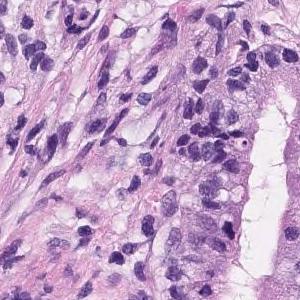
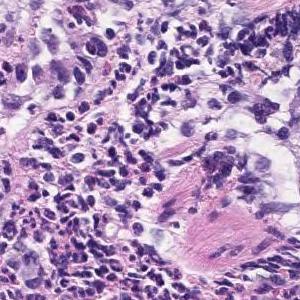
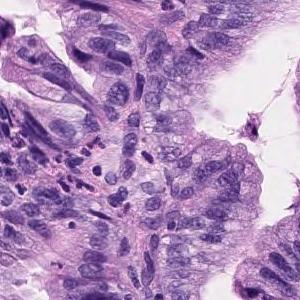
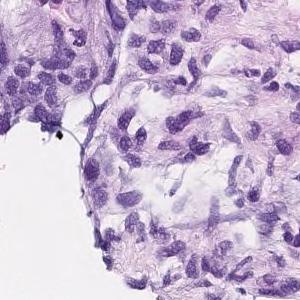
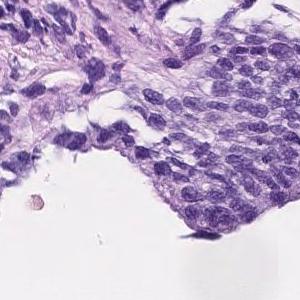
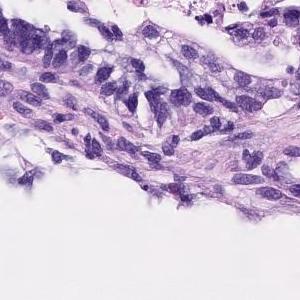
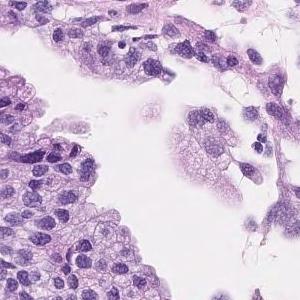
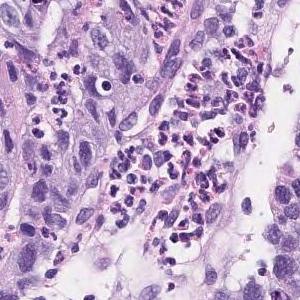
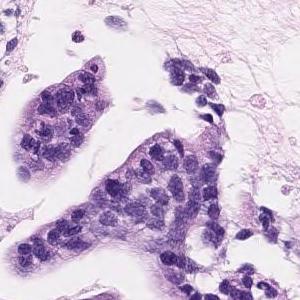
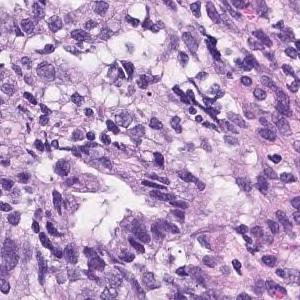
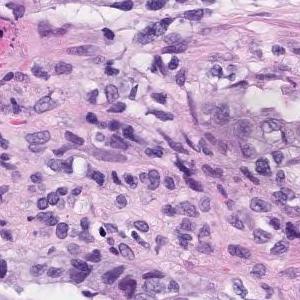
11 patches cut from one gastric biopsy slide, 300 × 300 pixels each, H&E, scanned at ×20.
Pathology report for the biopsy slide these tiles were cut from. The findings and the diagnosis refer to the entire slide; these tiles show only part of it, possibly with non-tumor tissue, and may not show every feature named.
Tumor cells are large, highly columnar, large club-shaped nuclei, and are associated with chromatin aggregation. Papillary adenocarcinoma.
